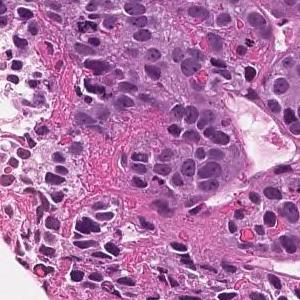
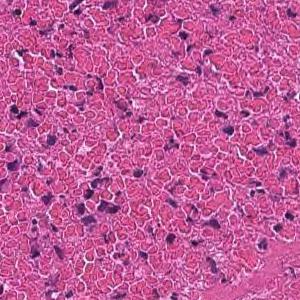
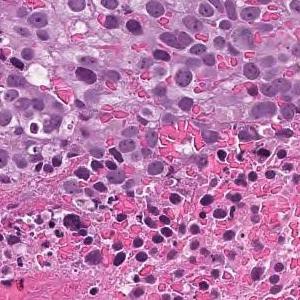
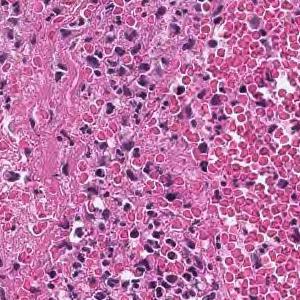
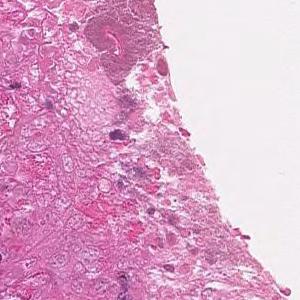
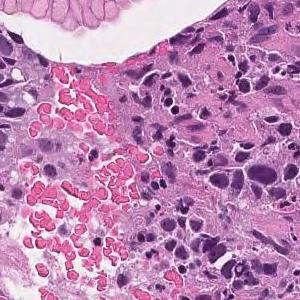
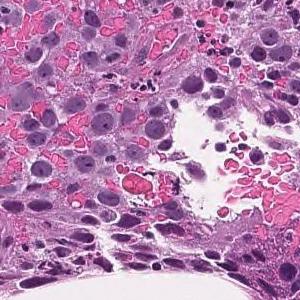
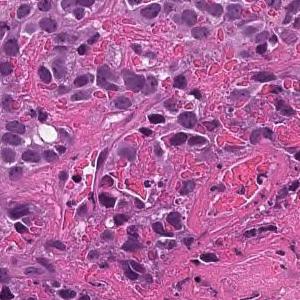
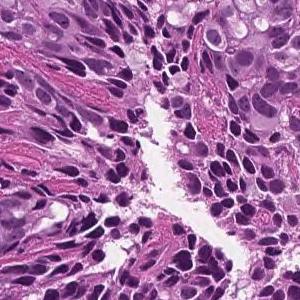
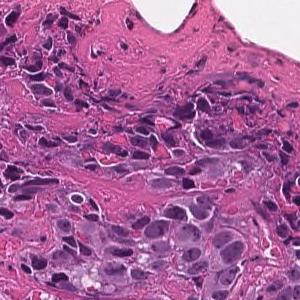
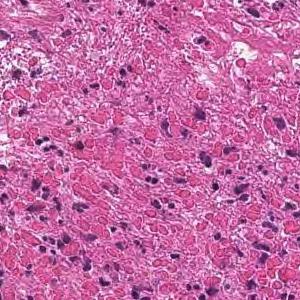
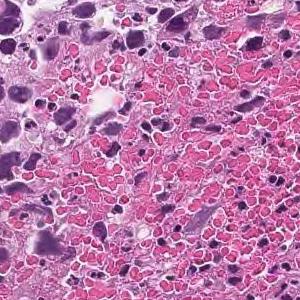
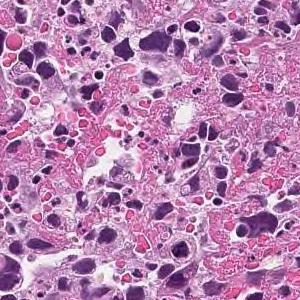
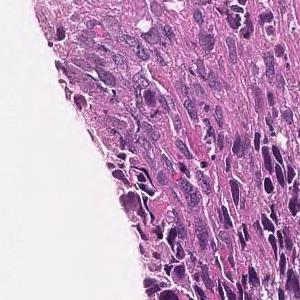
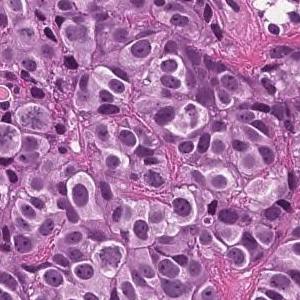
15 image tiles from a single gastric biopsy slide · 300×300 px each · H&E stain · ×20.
Report on the slide these tiles come from. The report and the diagnosis cover the entire slide, so not every feature they name need be visible here, and some tissue shown may not be tumor.
The superficial epithelium shows a large sheet-like shape, and some tumor tissue infiltrates with small irregular ducts. Poorly differentiated adenocarcinoma, solid-type
Tumor subtype: poorly differentiated adenocarcinoma, solid type (Japanese Classification of Gastric Carcinoma). The WHO 2019 equivalent is tubular adenocarcinoma, poorly differentiated.
